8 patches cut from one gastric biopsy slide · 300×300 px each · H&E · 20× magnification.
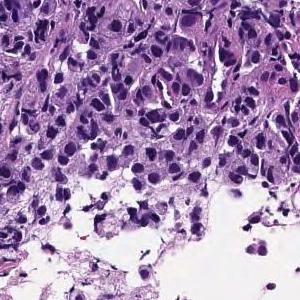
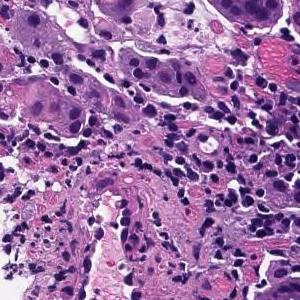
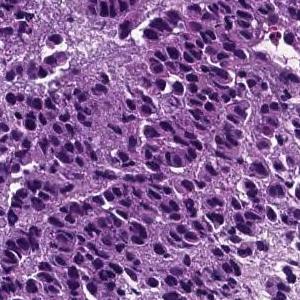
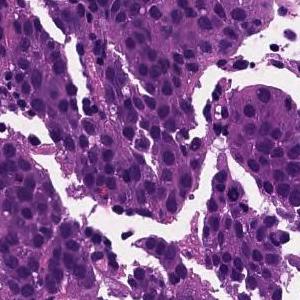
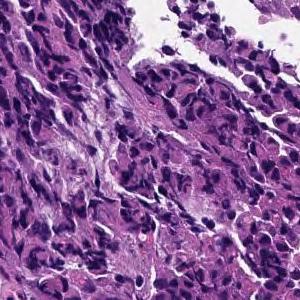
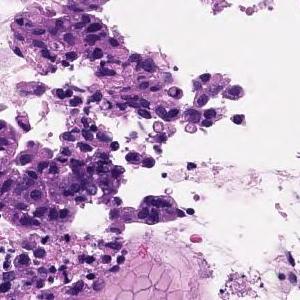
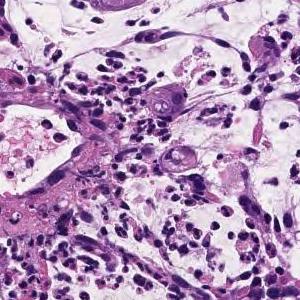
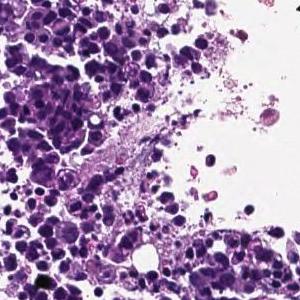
Diagnostic report for the slide these tiles come from. The report and the diagnosis cover the entire slide, so not every feature they name need be visible here, and some tissue shown may not be tumor.
The superficial epithelium shows a large sheet-like shape, and some tumor tissue infiltrates with small irregular ducts. Poorly differentiated adenocarcinoma, solid-type
Tumor subtype: poorly differentiated adenocarcinoma, solid type, a category of the Japanese Classification of Gastric Carcinoma; in the WHO 2019 classification it is tubular adenocarcinoma, poorly differentiated.
